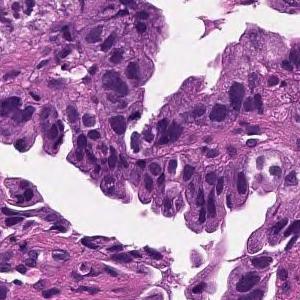
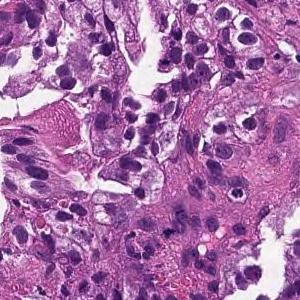
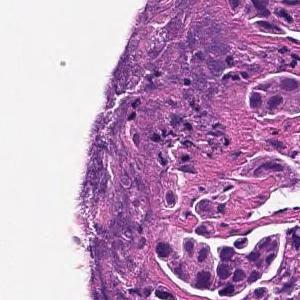
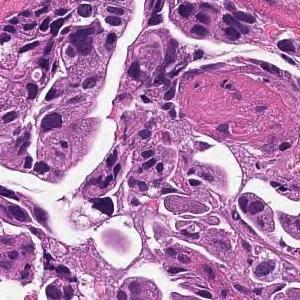
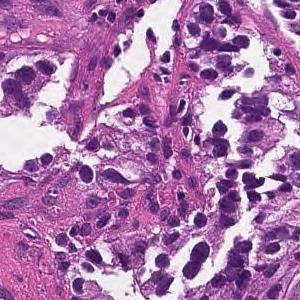
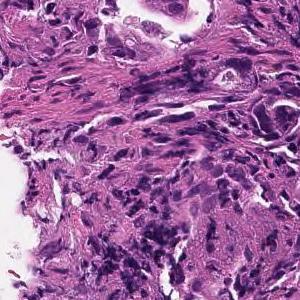
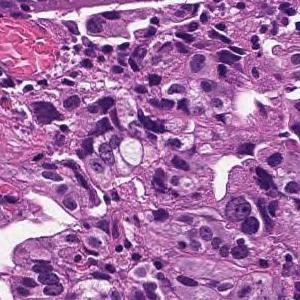
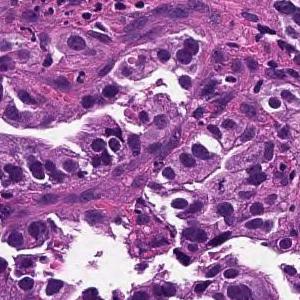
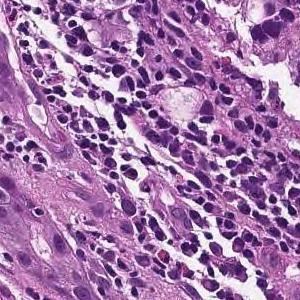
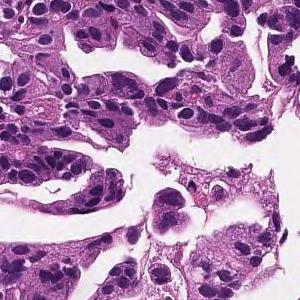
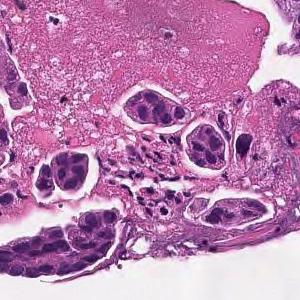
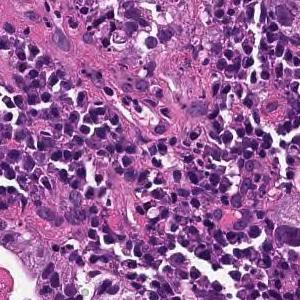
12 patches cut from one gastric biopsy slide, 300×300 px each, hematoxylin and eosin stain, 20× magnification.
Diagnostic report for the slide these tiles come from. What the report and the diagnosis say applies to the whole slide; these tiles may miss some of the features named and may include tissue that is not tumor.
Medium to small, irregular glandular ducts are formed in the superficial epithelium, and in some cases, the glandular ducts are fused to show solid alveolar lesions and infiltrating tumor tissue is observed. Moderately to poorly differentiated adenocarcinoma.
